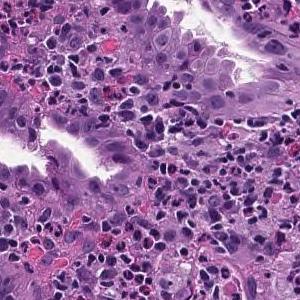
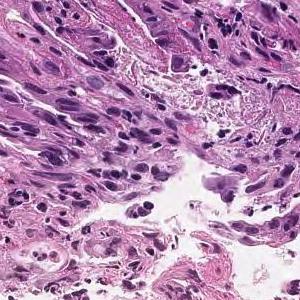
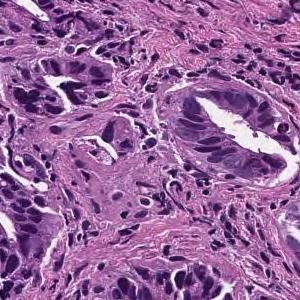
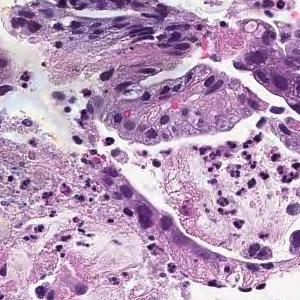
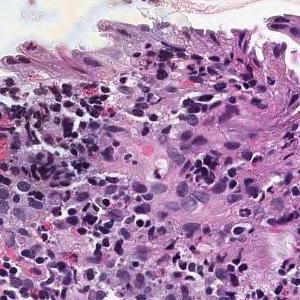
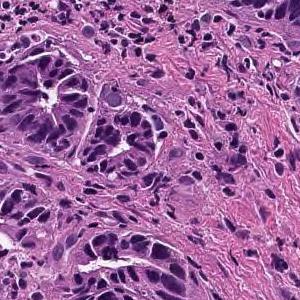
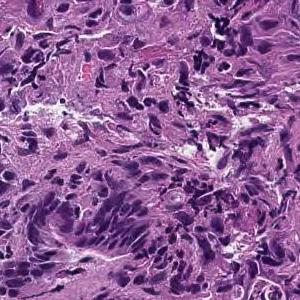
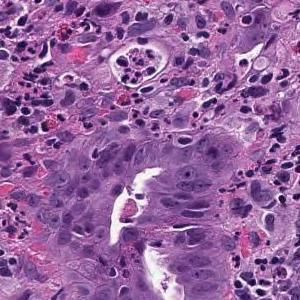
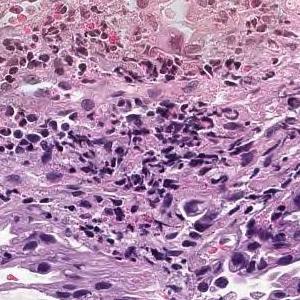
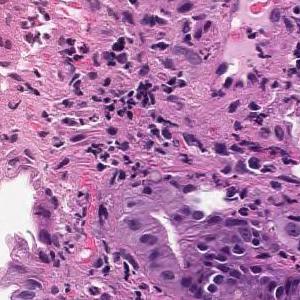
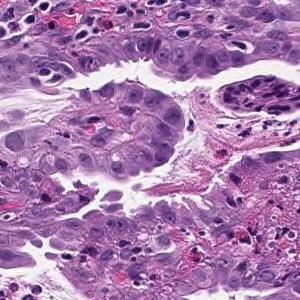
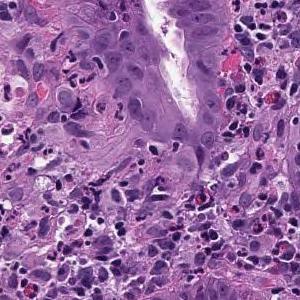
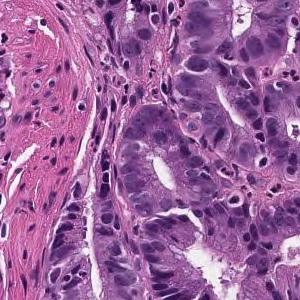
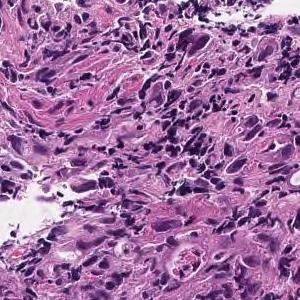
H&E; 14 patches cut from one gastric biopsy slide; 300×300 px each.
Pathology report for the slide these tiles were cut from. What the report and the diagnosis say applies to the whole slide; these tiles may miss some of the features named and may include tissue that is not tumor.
On the superficial epithelium, tumor tissue consisting of large, irregular glandular ducts partially fused and infiltrated is observed. Well to moderately differentiated tubular adenocarcinoma (well differentiated tubular adenocarcinoma, moderately differentiated tubular adenocarcinoma)
Histological subtype: Well to moderately differentiated tubular adenocarcinoma.
